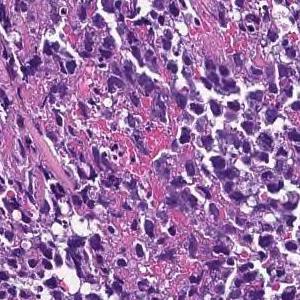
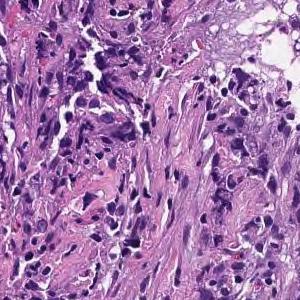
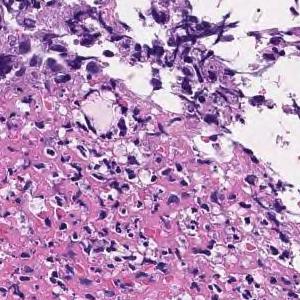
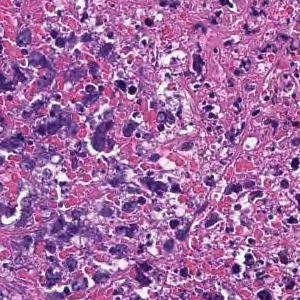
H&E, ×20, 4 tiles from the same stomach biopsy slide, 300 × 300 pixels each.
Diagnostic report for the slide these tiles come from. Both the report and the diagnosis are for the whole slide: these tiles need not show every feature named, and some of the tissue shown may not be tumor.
Most are composed of coagulative necrotic tissue, but some show a large sheet-like shape, and some show tumor tissue infiltrating with a small cord-like structure. Poorly differentiated adenocarcinoma, solid-type
Subtype: Poorly differentiated adenocarcinoma, solid type (Japanese Classification of Gastric Carcinoma). The WHO 2019 equivalent is tubular adenocarcinoma, poorly differentiated.
